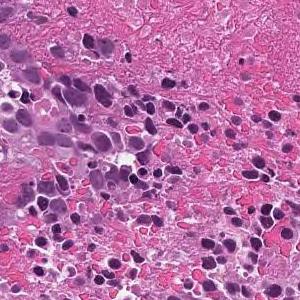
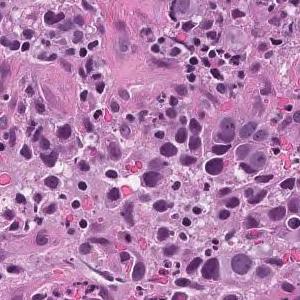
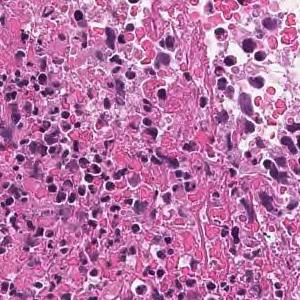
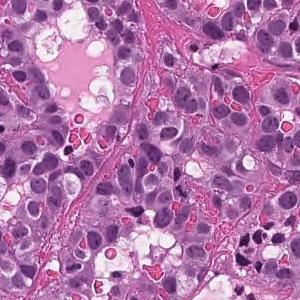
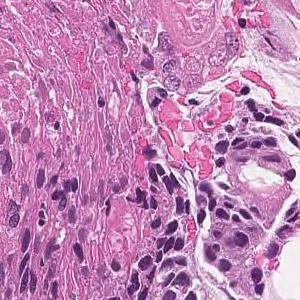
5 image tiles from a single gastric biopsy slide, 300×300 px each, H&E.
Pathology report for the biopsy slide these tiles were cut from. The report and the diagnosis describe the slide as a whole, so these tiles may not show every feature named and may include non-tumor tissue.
The superficial epithelium shows a large sheet-like shape, and some tumor tissue infiltrates with small irregular ducts. Poorly differentiated adenocarcinoma, solid-type
Tumor subtype: poorly differentiated adenocarcinoma, solid type. This name comes from the Japanese Classification of Gastric Carcinoma; the WHO 2019 classification calls it tubular adenocarcinoma, poorly differentiated.
